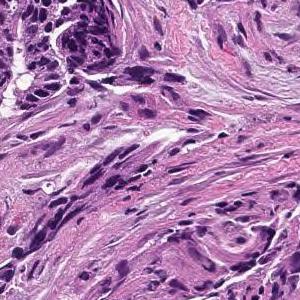
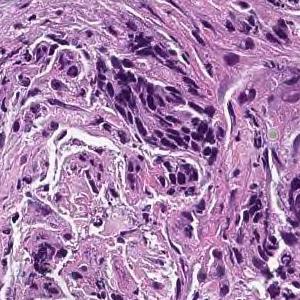
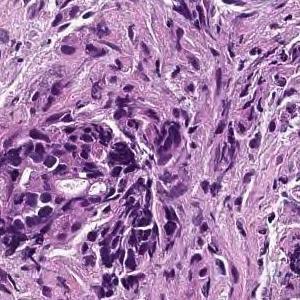
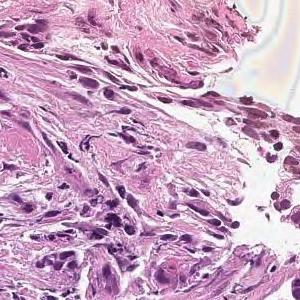
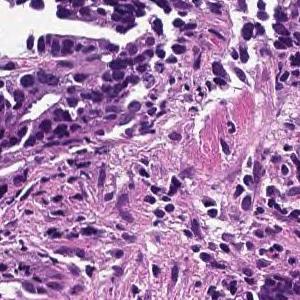
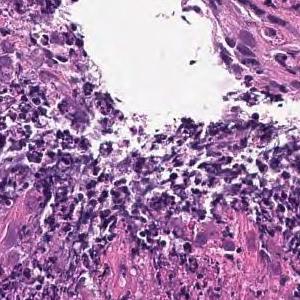
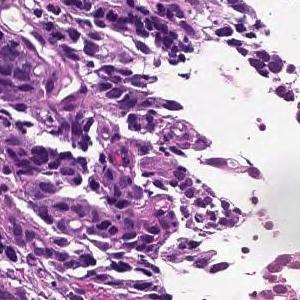
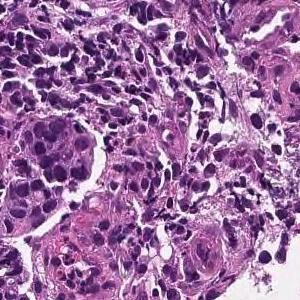
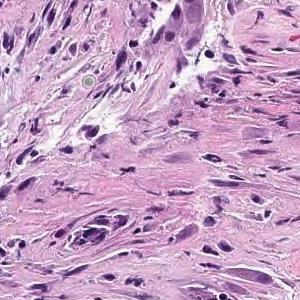
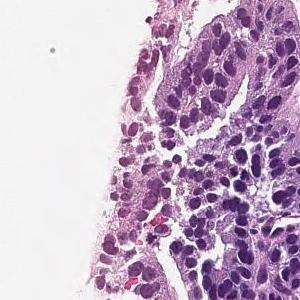
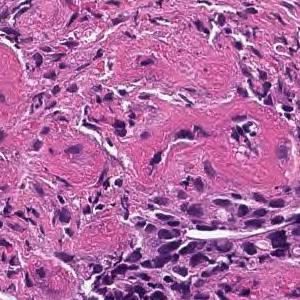
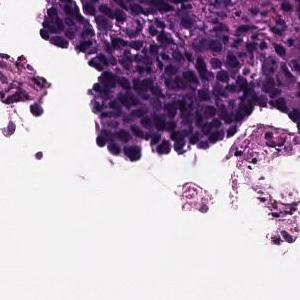
12 tiles cut from one stomach biopsy slide, 300 × 300 pixels each, ×20.
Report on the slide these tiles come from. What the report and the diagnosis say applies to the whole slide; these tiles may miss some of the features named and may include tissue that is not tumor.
In the superficial epithelium, tumor tissue that invades by forming medium-sized to small, irregular ducts is observed. moderately differentiated tubular adenocarcinoma.
